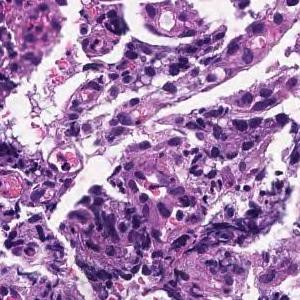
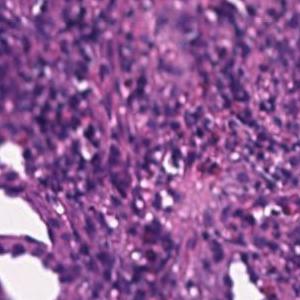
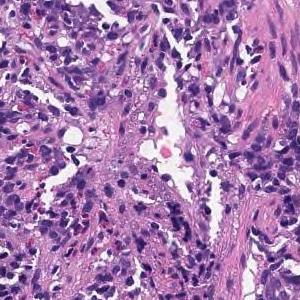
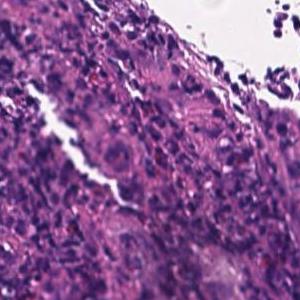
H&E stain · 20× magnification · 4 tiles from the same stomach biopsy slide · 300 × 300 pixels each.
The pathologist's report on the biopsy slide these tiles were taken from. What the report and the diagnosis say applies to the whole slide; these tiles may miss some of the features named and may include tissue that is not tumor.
On the superficial epithelium, tumor tissue consisting of large irregular glandular ducts partially fused and infiltrated is observed. Well to moderately differentiated tubular adenocarcinoma (well differentiated tubular adenocarcinoma, moderately differentiated tubular adenocarcinoma)
Histologic type: Well to moderately differentiated tubular adenocarcinoma.
